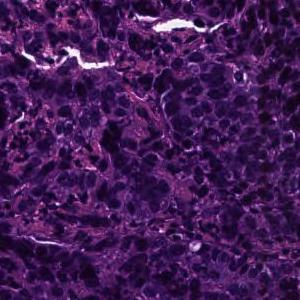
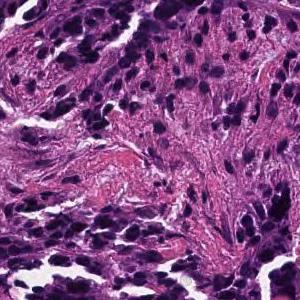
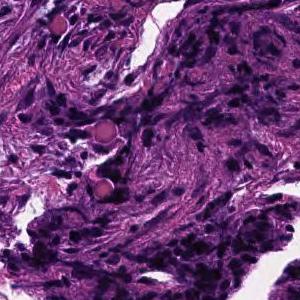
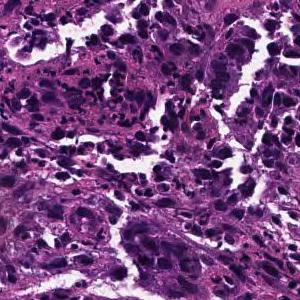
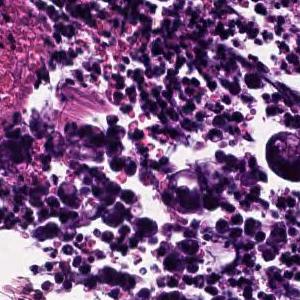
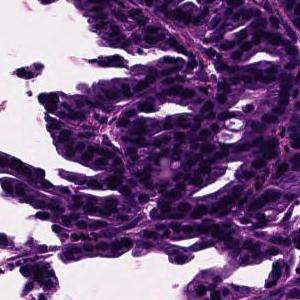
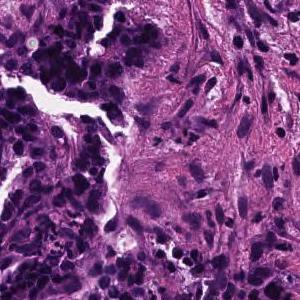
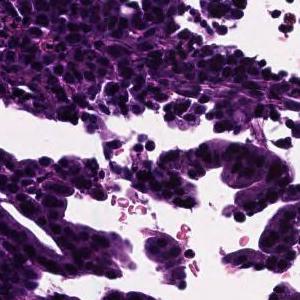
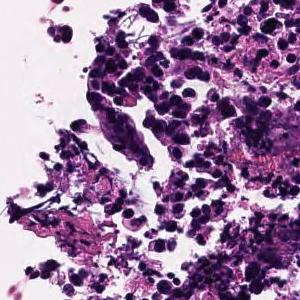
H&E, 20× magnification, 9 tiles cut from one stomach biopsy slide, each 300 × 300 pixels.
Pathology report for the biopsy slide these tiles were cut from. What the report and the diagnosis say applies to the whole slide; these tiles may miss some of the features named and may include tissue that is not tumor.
In the superficial epithelium, tumor tissue that invades by forming medium-sized to small, irregular ducts is observed. moderately differentiated tubular adenocarcinoma.
